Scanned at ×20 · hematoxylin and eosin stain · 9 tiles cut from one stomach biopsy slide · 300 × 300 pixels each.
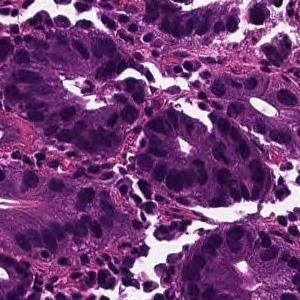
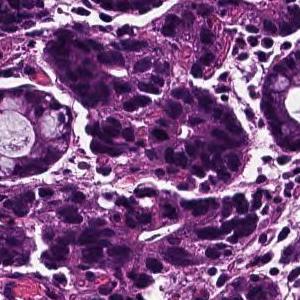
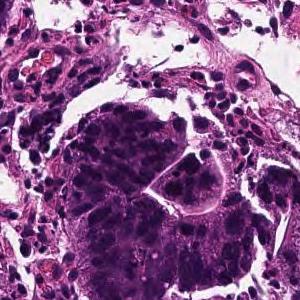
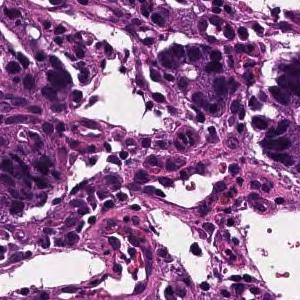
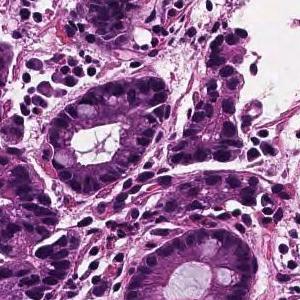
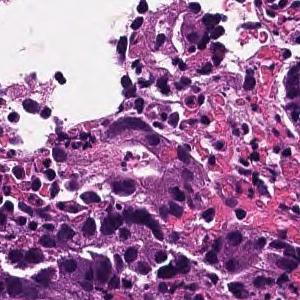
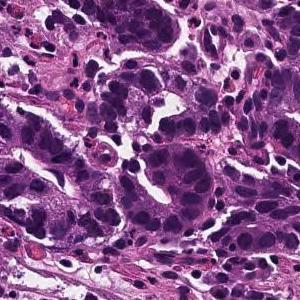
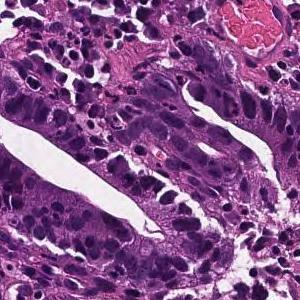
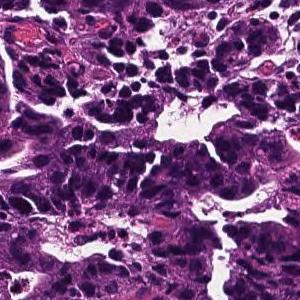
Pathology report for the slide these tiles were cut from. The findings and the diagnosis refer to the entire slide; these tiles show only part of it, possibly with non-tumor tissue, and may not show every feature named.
In the superficial epithelium, tumor tissue that invades by forming medium-sized to small, irregular ducts is observed. moderately differentiated tubular adenocarcinoma.
